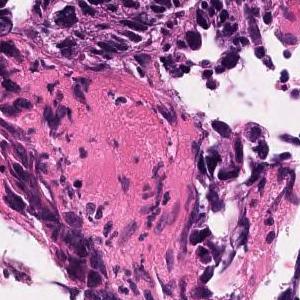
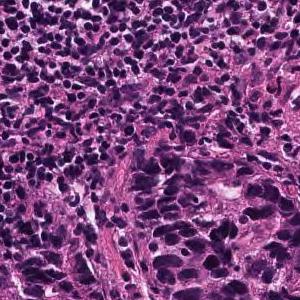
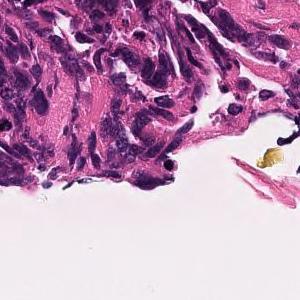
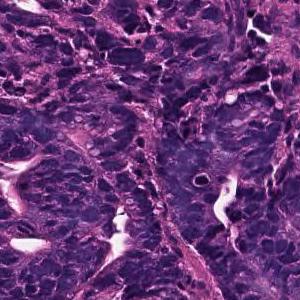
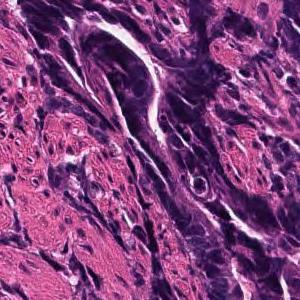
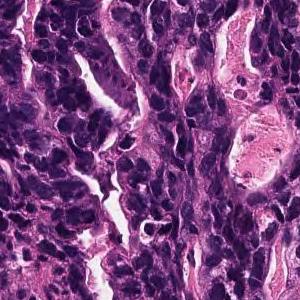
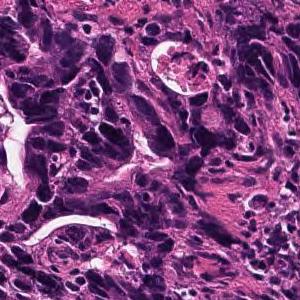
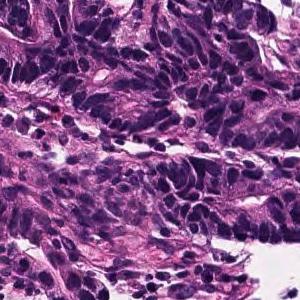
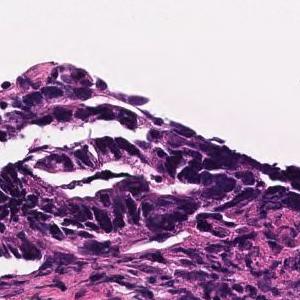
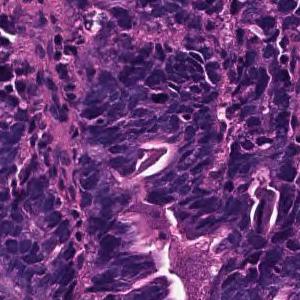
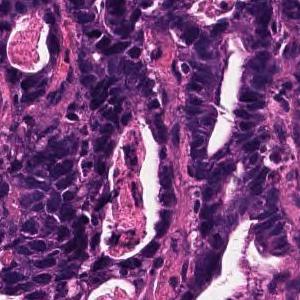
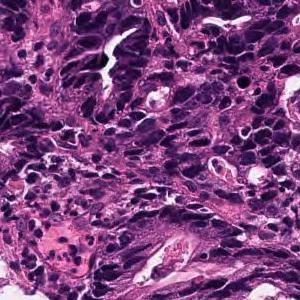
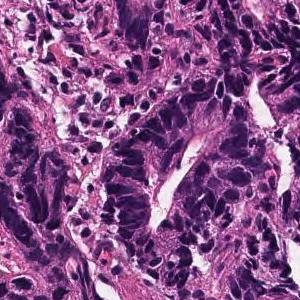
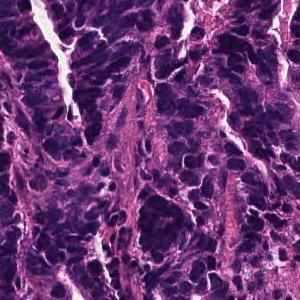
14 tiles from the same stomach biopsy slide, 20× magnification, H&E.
Pathology report for the biopsy slide these tiles were cut from. The report and the diagnosis cover the entire slide, so not every feature they name need be visible here, and some tissue shown may not be tumor.
Large and small irregular small glandular ducts forming and infiltrating. moderately differentiated tubular adenocarcinoma
